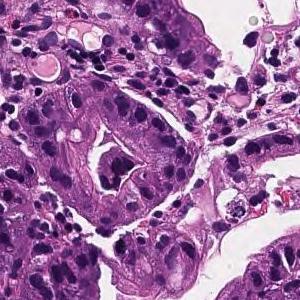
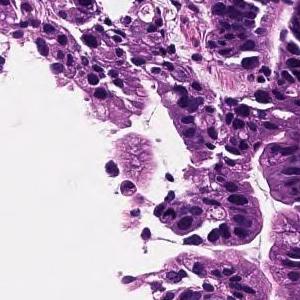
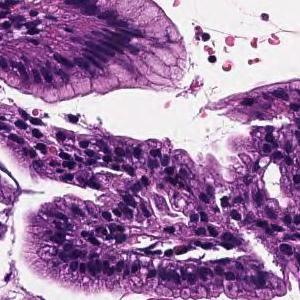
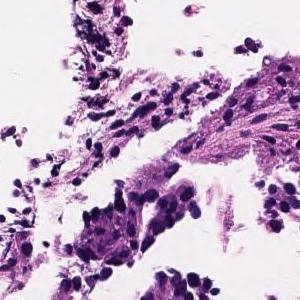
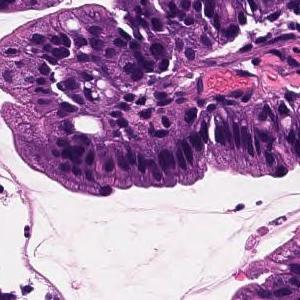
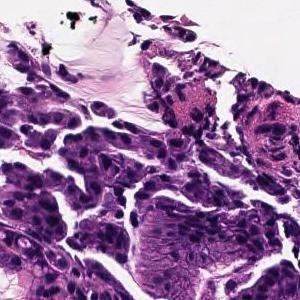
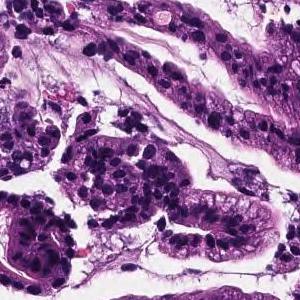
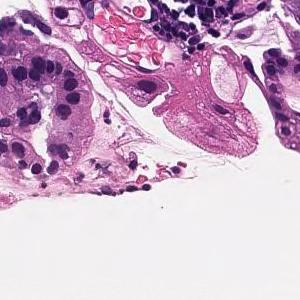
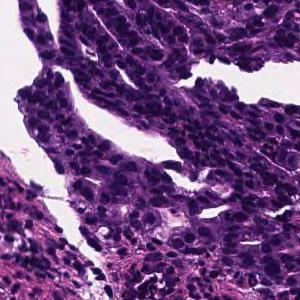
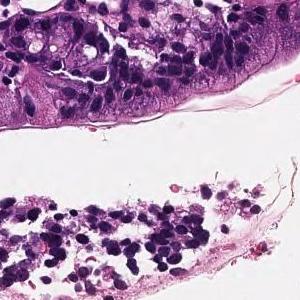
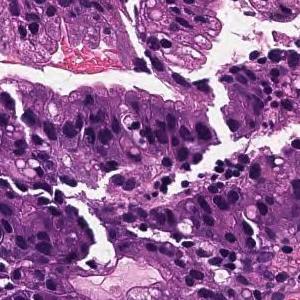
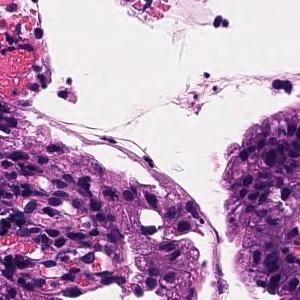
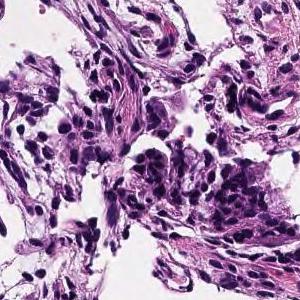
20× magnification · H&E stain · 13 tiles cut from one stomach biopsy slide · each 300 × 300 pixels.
Pathology report for the biopsy slide these tiles were cut from. The report and the diagnosis describe the slide as a whole, so these tiles may not show every feature named and may include non-tumor tissue.
On the superficial epithelium, tumor tissue that infiltrates by forming medium-sized papillary or small irregular ducts is observed. Papillary adenocarcinoma
